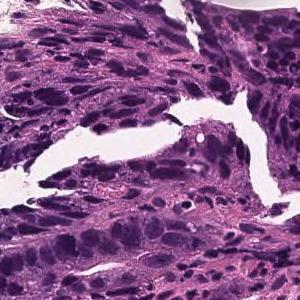
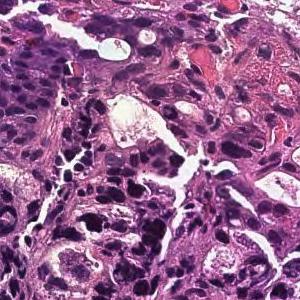
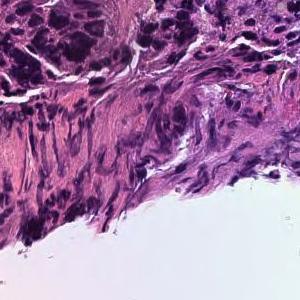
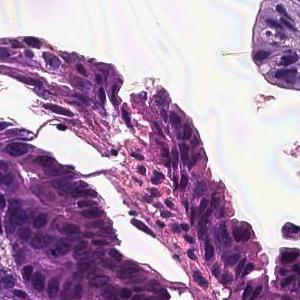
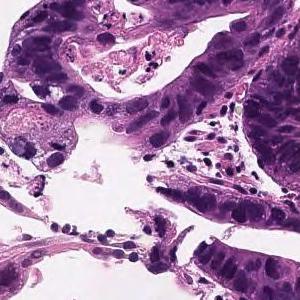
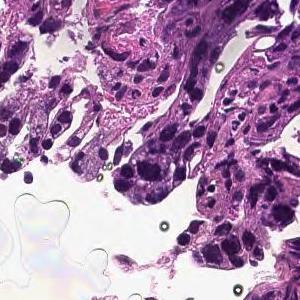
Scanned at ×20, H&E stain, 6 tiles cut from one stomach biopsy slide, each 300 × 300 pixels.
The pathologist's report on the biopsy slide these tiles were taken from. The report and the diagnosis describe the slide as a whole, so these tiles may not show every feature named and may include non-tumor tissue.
In the superficial epithelium, tumor tissue that invades by forming medium-sized to small, irregular ducts is observed. moderately differentiated tubular adenocarcinoma.
